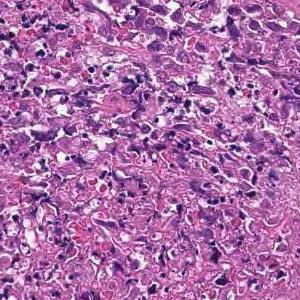
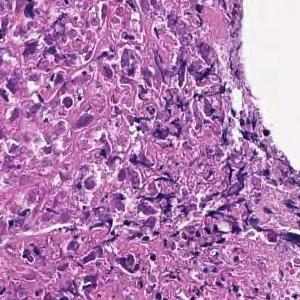
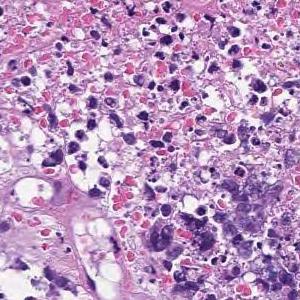
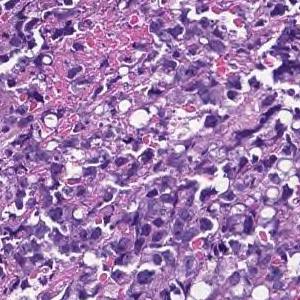
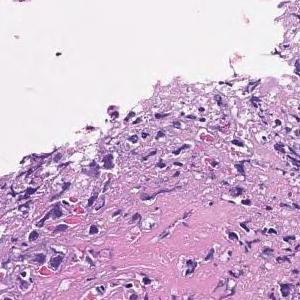
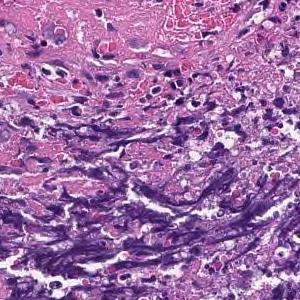
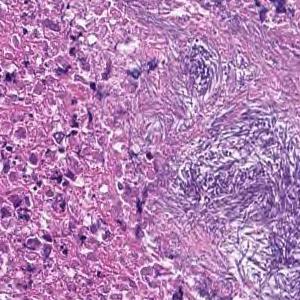
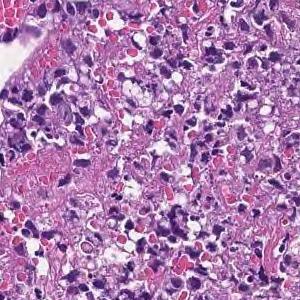
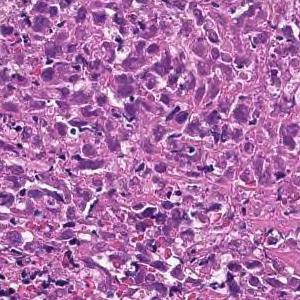
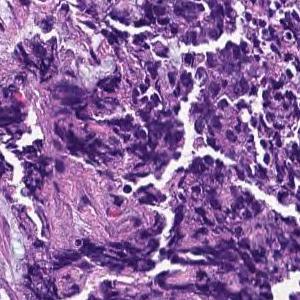
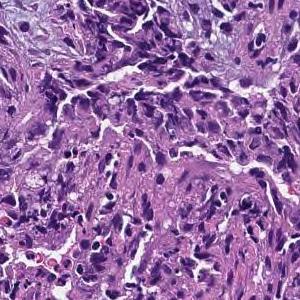
11 tiles from the same stomach biopsy slide, H&E stain, ×20.
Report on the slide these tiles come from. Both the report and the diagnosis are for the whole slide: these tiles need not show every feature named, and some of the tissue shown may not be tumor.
Most are composed of coagulative necrotic tissue, but some show a large sheet-like shape, and some show tumor tissue infiltrating with a small cord-like structure. Poorly differentiated adenocarcinoma, solid-type
Tumor subtype: poorly differentiated adenocarcinoma, solid type, a category of the Japanese Classification of Gastric Carcinoma; in the WHO 2019 classification it is tubular adenocarcinoma, poorly differentiated.
